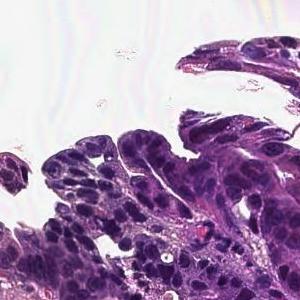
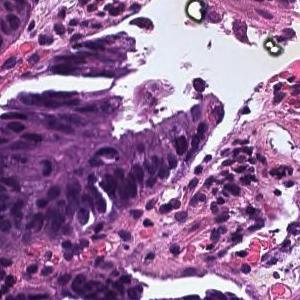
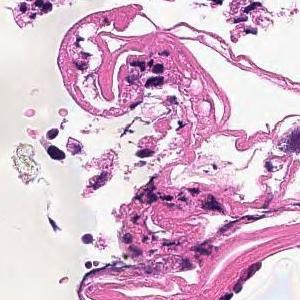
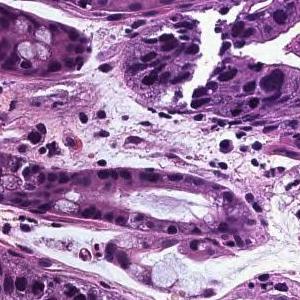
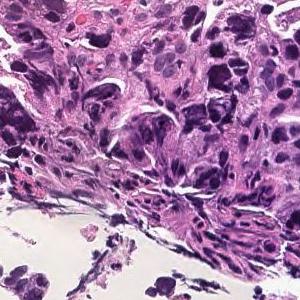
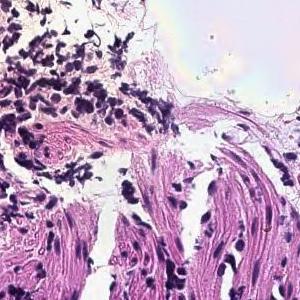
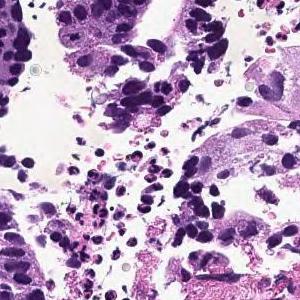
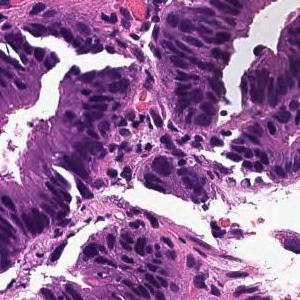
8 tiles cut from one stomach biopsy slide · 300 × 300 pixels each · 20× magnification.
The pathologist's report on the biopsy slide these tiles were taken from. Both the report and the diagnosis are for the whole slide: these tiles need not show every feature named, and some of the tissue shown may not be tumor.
In the superficial epithelium, tumor tissue that invades by forming medium-sized to small, irregular ducts is observed. moderately differentiated tubular adenocarcinoma.
